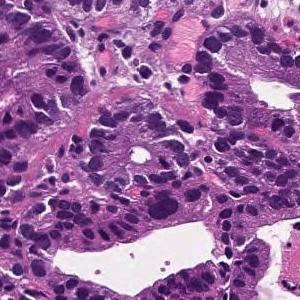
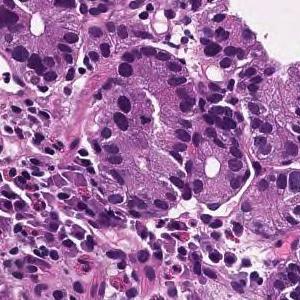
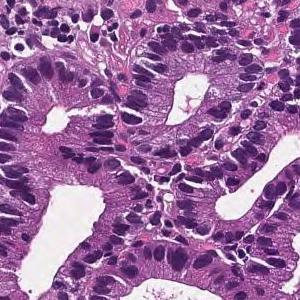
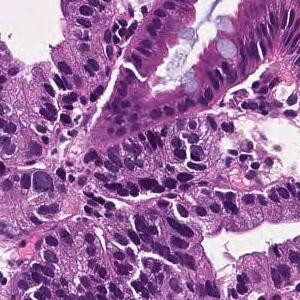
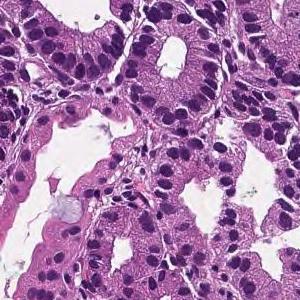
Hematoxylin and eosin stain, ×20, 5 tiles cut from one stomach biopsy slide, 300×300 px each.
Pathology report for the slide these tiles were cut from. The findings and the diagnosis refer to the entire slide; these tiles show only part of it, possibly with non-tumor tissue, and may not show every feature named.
From the superficial epithelium to the muscularis mucosae, tumor tissue consisting of medium-sized and irregular glandular ducts infiltrating is observed. Well differentiated tubular adenocarcinoma
